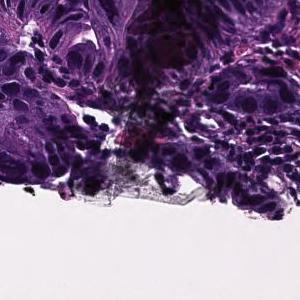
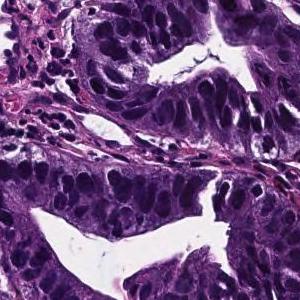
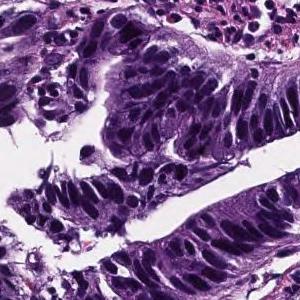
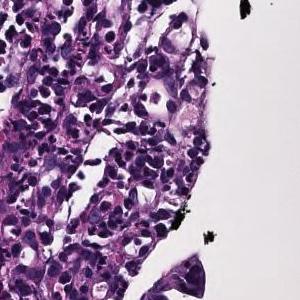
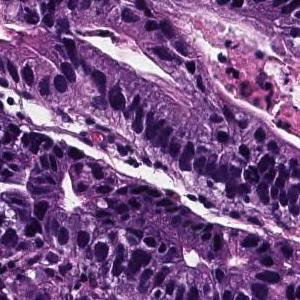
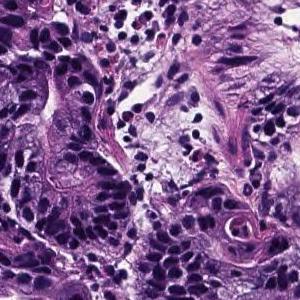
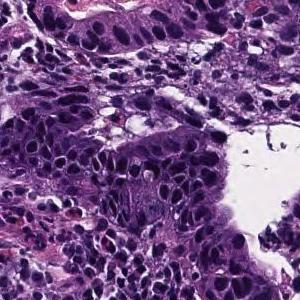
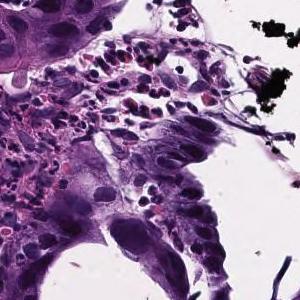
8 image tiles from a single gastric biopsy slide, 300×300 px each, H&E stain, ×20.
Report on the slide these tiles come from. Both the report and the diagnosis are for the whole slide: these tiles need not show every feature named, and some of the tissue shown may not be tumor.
In the superficial epithelium, tumor tissue that invades by forming medium-sized to small, irregular ducts is observed. Moderately differentiated adenocarcinoma.
Histologic type: Moderately differentiated tubular adenocarcinoma.
